Scanned at ×20, hematoxylin and eosin stain, 8 tiles cut from one stomach biopsy slide, each 300 × 300 pixels.
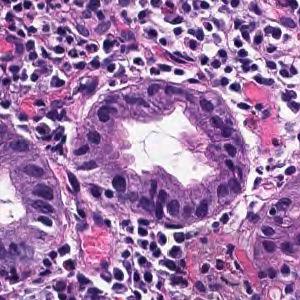
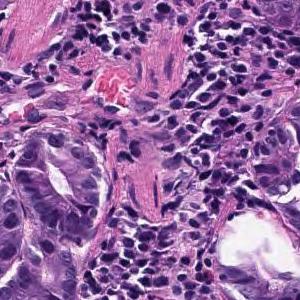
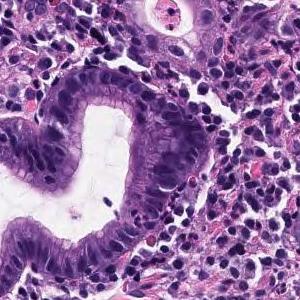
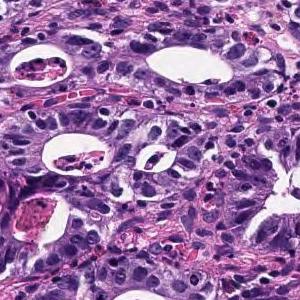
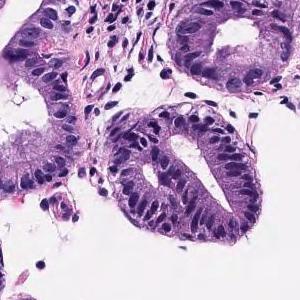
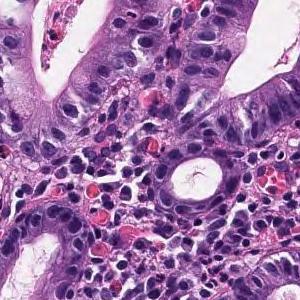
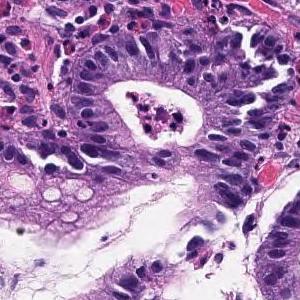
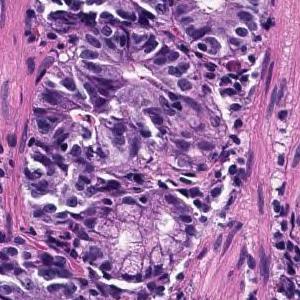
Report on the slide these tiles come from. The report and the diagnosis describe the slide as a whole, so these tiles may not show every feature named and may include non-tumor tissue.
Tumor tissue consisting of medium-sized and irregular ducts is observed infiltrating in the superficial epithelium. Tumor cells are highly columnar, with nuclei aligned basolaterally and polarized. Well differentiated tubular adenocarcinoma.
